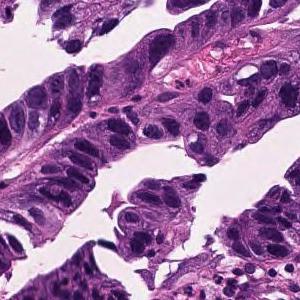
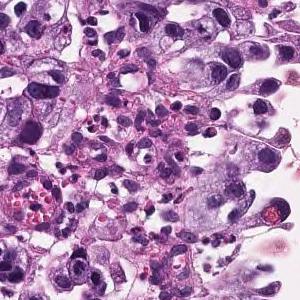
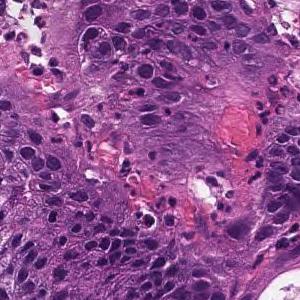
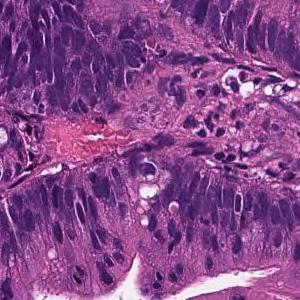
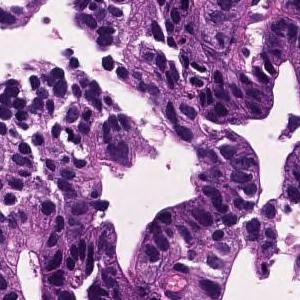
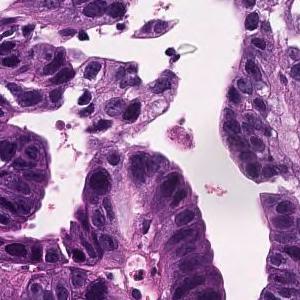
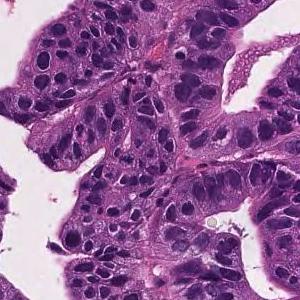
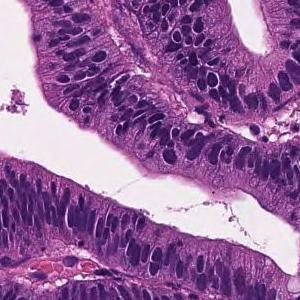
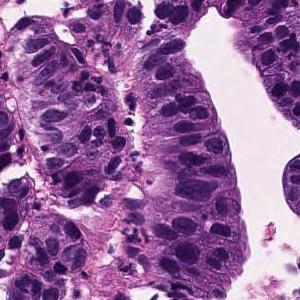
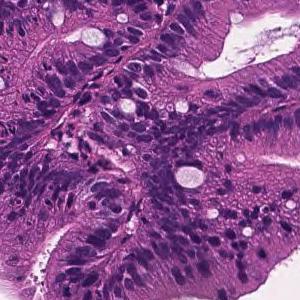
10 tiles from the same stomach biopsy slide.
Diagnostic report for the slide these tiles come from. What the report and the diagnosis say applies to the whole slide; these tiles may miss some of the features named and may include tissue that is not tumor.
Tumor cells are large, highly columnar, large club-shaped nuclei, and are associated with chromatin aggregation. Papillary adenocarcinoma.
